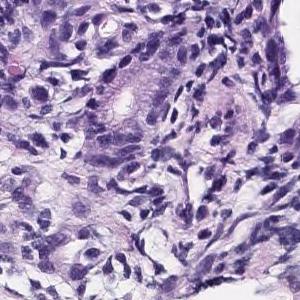
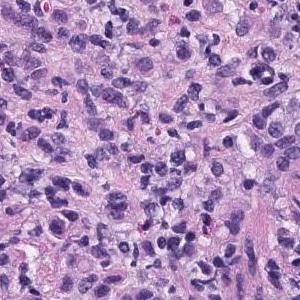
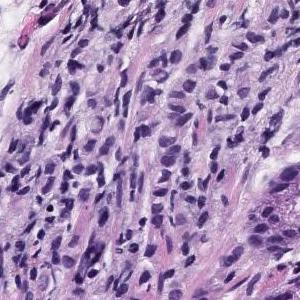
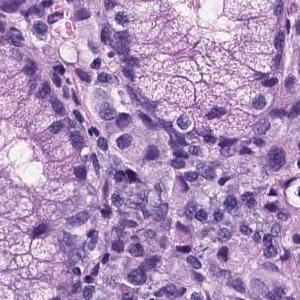
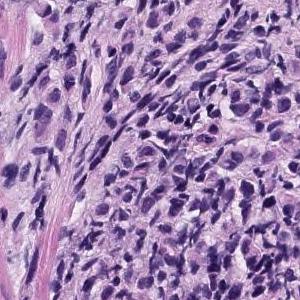
5 tiles from the same stomach biopsy slide.
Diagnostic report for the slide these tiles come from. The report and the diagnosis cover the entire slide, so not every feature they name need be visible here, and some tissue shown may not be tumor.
There are medium-sized atypical cells with marked nuclear swelling and increased N/C ratio, which grow into solid or isolated scattered cells. Poorly differentiated adenocarcinoma
Histologic type: Poorly differentiated adenocarcinoma, solid type, a category of the Japanese Classification of Gastric Carcinoma; in the WHO 2019 classification it is tubular adenocarcinoma, poorly differentiated.
